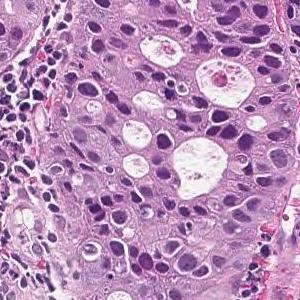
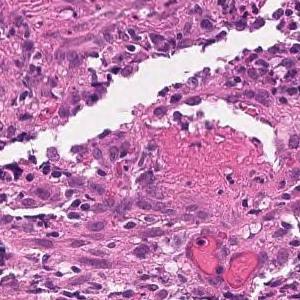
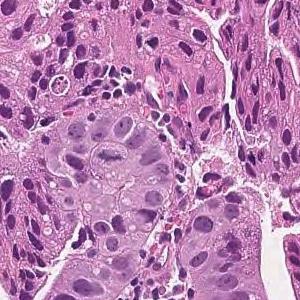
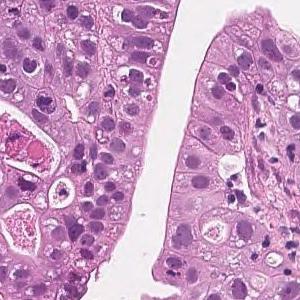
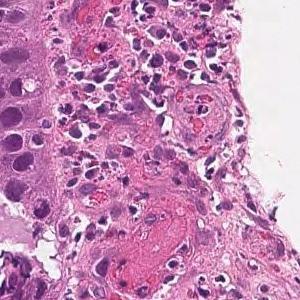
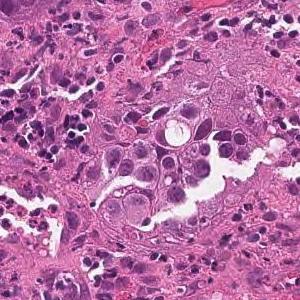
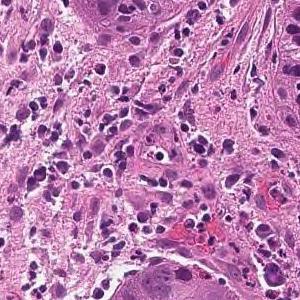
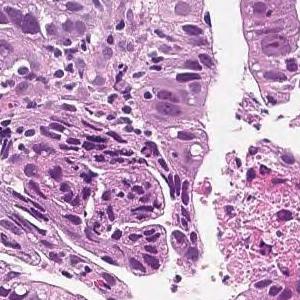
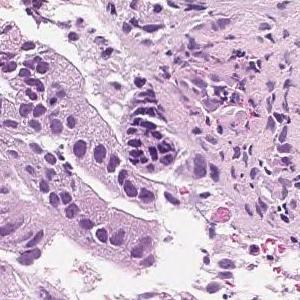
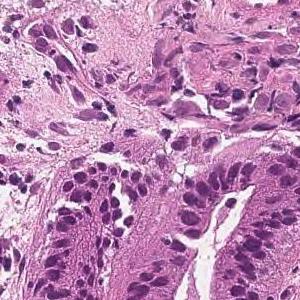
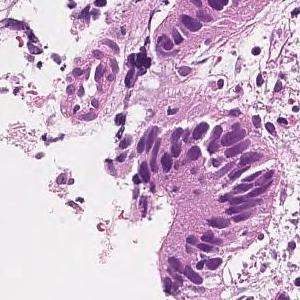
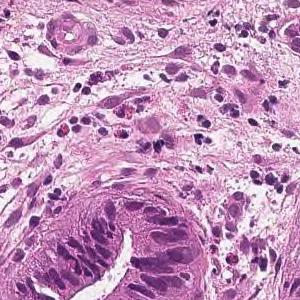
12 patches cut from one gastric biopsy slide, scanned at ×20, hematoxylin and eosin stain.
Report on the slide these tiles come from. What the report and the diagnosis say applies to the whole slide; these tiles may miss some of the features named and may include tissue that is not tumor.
In the superficial epithelium, tumor tissue that invades by forming medium-sized to small, irregular ducts is observed. moderately differentiated tubular adenocarcinoma.
